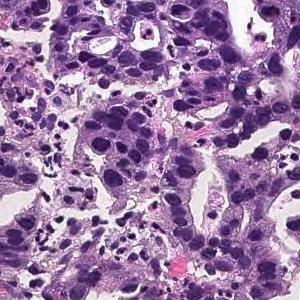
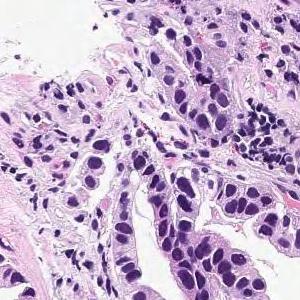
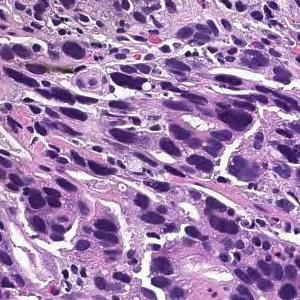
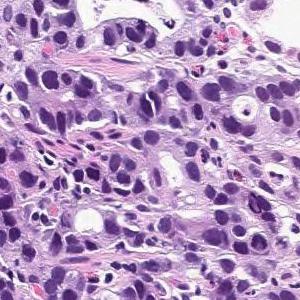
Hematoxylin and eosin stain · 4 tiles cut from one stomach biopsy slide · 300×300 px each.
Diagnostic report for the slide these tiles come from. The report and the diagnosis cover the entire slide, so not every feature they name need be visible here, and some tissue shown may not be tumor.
On the superficial epithelium, tumor tissue consisting of large irregular glandular ducts partially fused and infiltrated is observed. Well to moderately differentiated tubular adenocarcinoma (well differentiated tubular adenocarcinoma, moderately differentiated tubular adenocarcinoma)
Classified as well to moderately differentiated tubular adenocarcinoma.
